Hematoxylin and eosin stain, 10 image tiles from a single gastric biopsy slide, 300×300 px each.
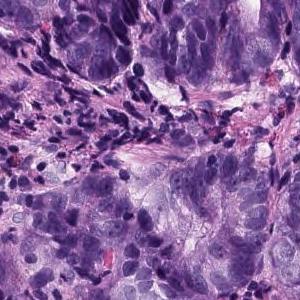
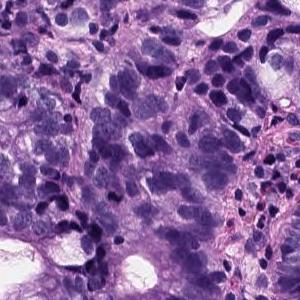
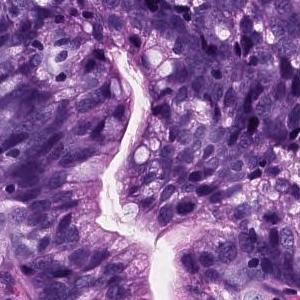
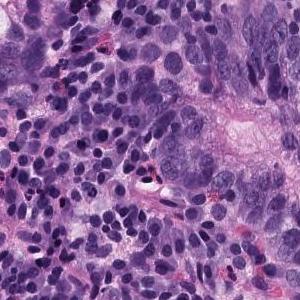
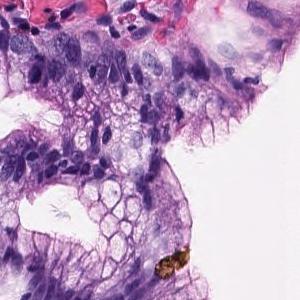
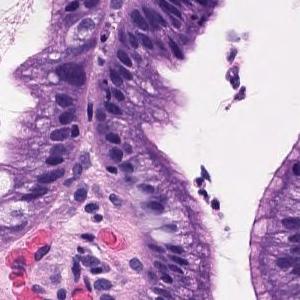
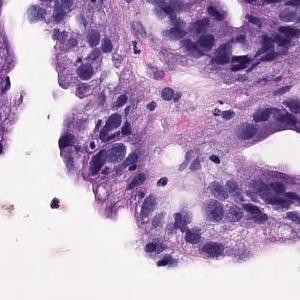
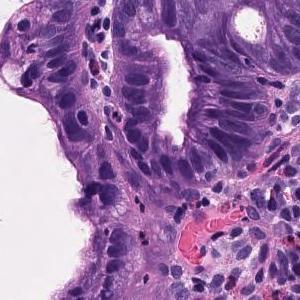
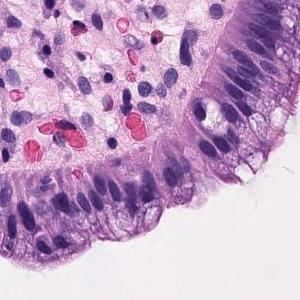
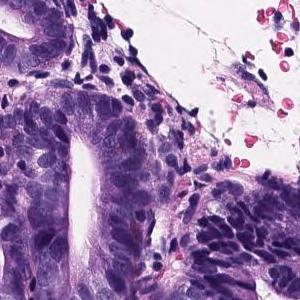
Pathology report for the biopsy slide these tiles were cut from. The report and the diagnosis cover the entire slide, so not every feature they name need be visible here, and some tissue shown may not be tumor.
Tumor cells with strong nuclear atypia proliferate invasively, forming small to medium-sized irregular shaped ducts. moderately differentiated tubular adenocarcinoma
